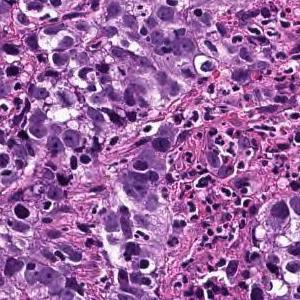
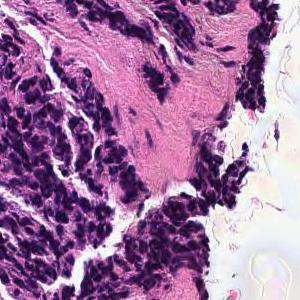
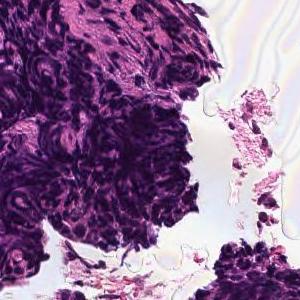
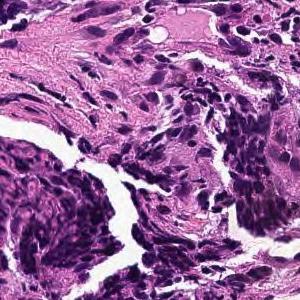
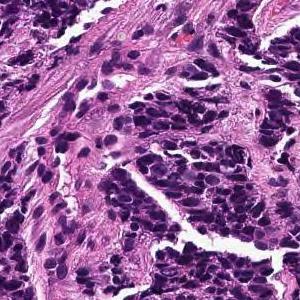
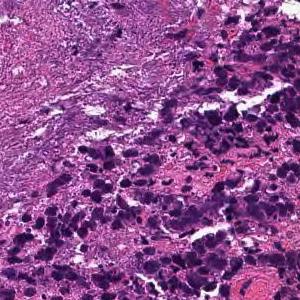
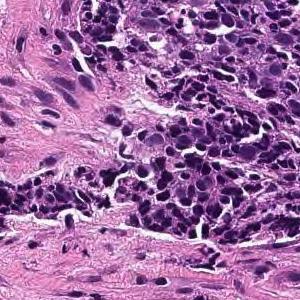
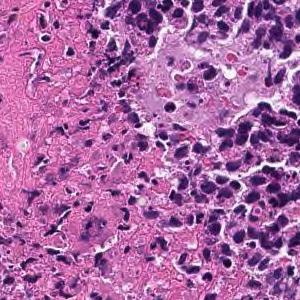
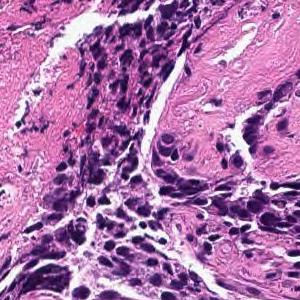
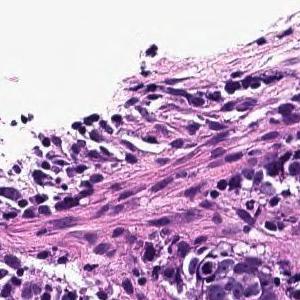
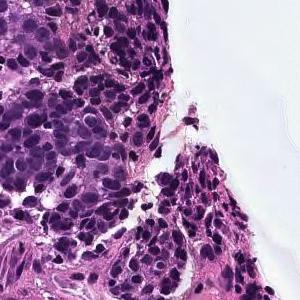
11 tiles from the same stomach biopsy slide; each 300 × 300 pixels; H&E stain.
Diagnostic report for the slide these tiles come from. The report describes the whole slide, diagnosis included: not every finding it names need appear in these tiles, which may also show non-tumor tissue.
The superficial epithelium shows a large sheet or alveolar shape, and tumor tissue infiltrating without irregular ducts is observed. Poorly differentiated adenocarcinoma, solid-type
Tumor subtype: poorly differentiated adenocarcinoma, solid type. This name comes from the Japanese Classification of Gastric Carcinoma; the WHO 2019 classification calls it tubular adenocarcinoma, poorly differentiated.
